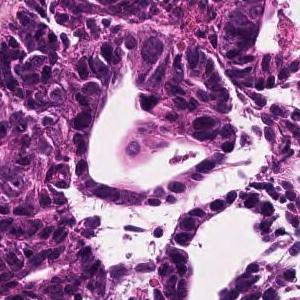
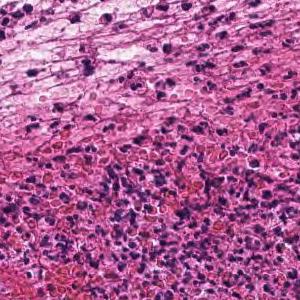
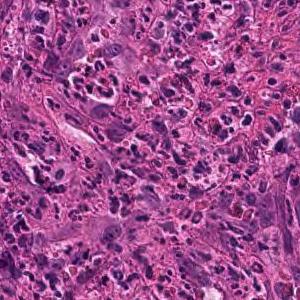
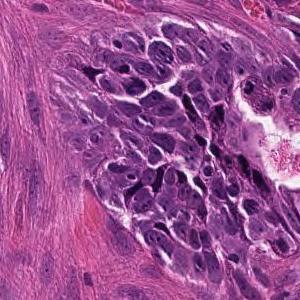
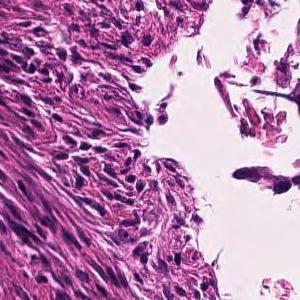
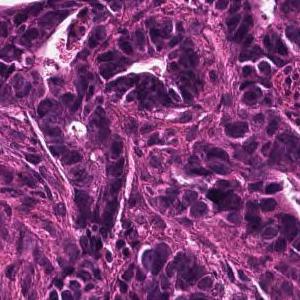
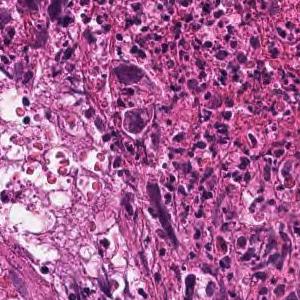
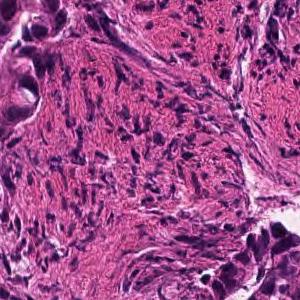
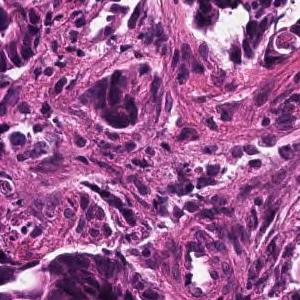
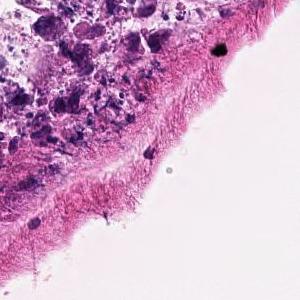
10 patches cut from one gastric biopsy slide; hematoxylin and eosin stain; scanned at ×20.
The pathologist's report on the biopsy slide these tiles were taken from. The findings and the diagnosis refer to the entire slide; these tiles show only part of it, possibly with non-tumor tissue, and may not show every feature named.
In the superficial epithelium, tumor tissue that invades by forming medium-sized to small, irregular ducts is observed. moderately differentiated tubular adenocarcinoma.
